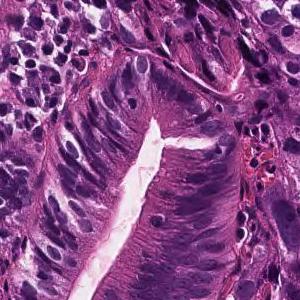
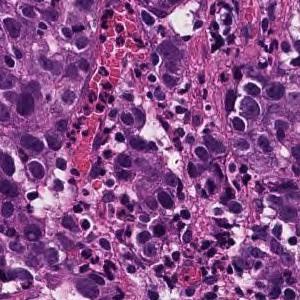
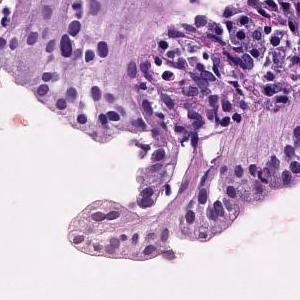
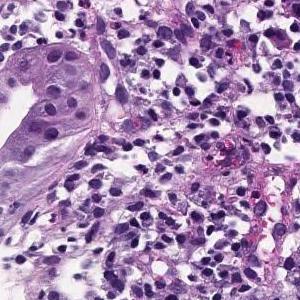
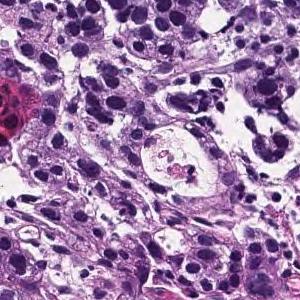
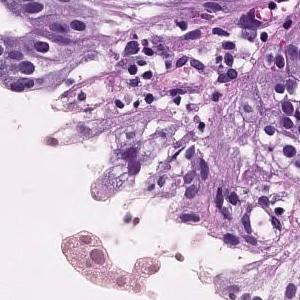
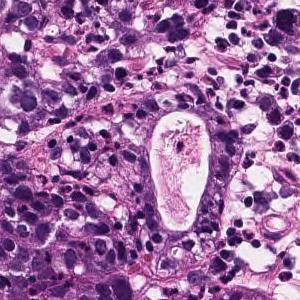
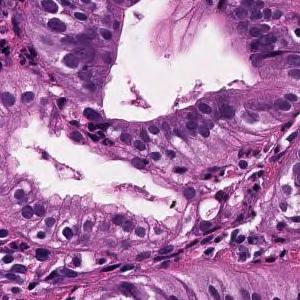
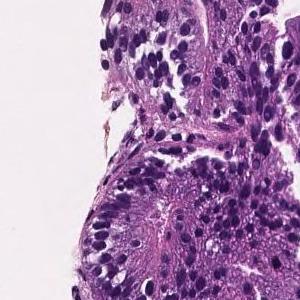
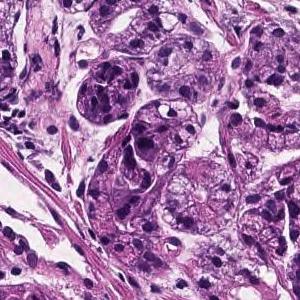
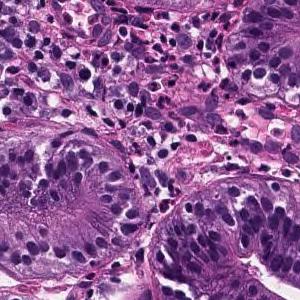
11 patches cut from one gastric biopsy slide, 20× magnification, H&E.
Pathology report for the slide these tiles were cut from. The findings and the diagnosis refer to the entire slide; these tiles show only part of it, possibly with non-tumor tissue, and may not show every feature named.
In the superficial epithelium, tumor tissue that invades by forming medium-sized to small, irregular ducts is observed. moderately differentiated tubular adenocarcinoma.
